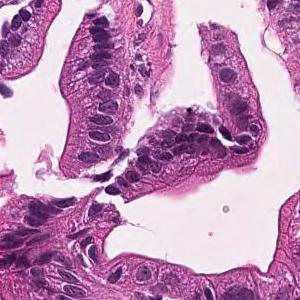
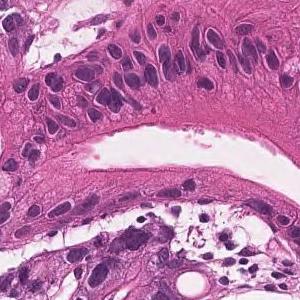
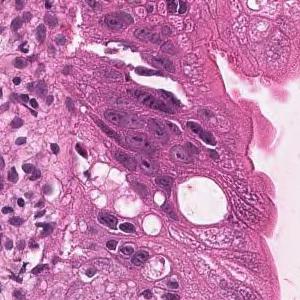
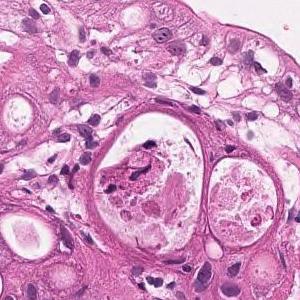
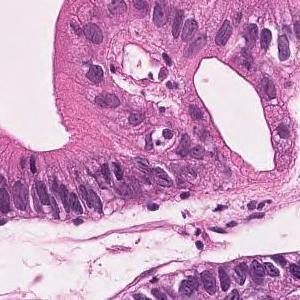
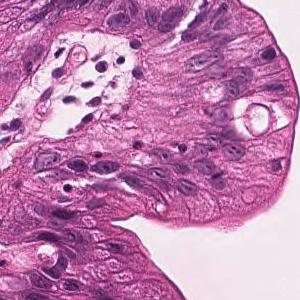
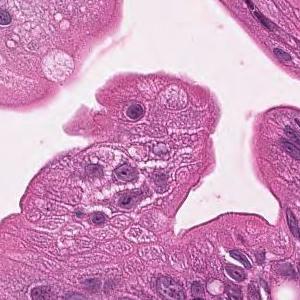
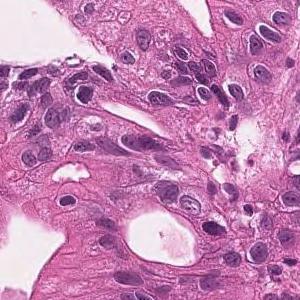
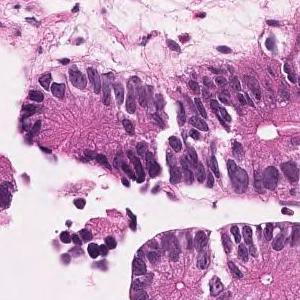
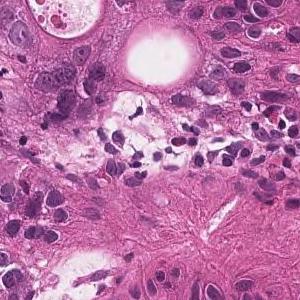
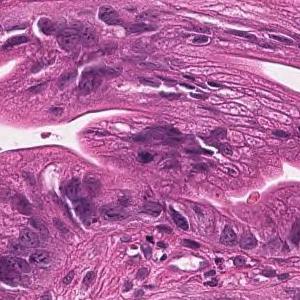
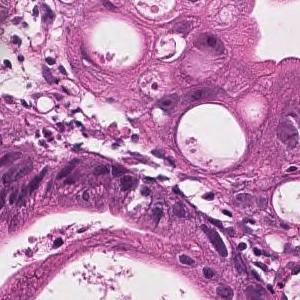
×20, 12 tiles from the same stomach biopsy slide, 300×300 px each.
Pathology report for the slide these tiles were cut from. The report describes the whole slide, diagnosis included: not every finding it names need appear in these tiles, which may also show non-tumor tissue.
On the superficial epithelium, tumor tissue that infiltrates by forming medium-sized papillary or small irregular ducts is observed. Papillary adenocarcinoma
